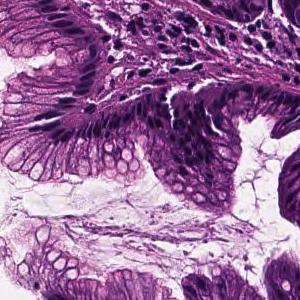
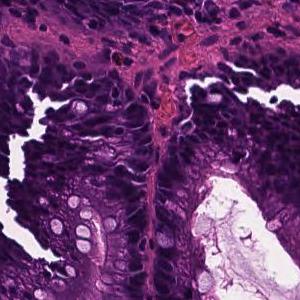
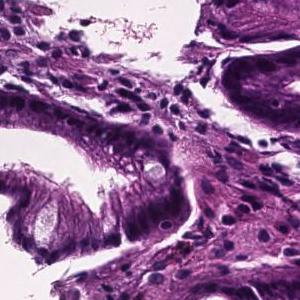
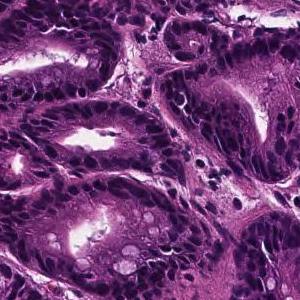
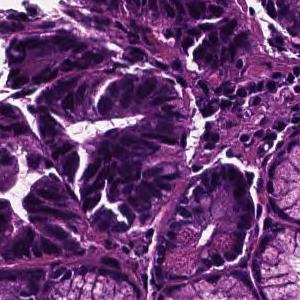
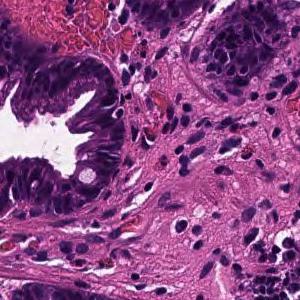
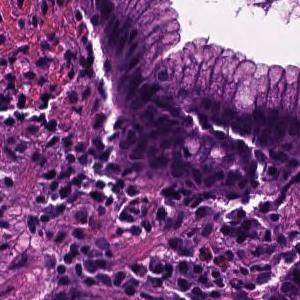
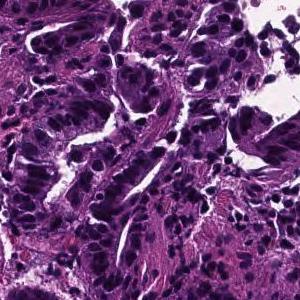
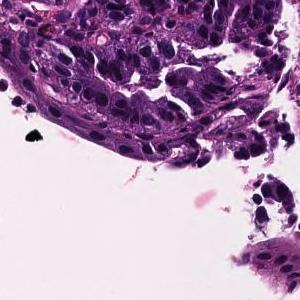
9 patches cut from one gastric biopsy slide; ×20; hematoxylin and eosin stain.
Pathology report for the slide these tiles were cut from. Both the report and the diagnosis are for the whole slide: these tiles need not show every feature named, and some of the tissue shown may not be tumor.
In the superficial epithelium, tumor tissue that invades by forming medium-sized to small, irregular ducts is observed. Well differentiated tubular adenocarcinoma.
